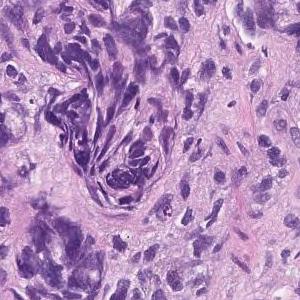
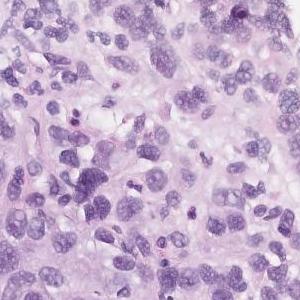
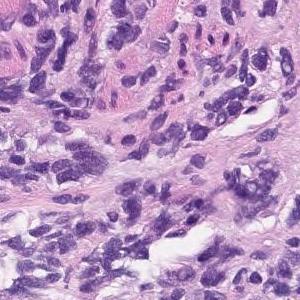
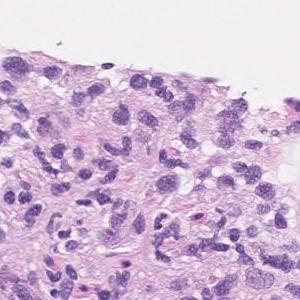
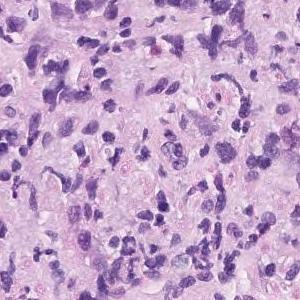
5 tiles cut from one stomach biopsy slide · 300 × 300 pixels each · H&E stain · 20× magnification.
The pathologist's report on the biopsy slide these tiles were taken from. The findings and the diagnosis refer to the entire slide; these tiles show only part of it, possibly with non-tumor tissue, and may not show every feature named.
Atypical l cells with atypical nuclei under the mucosa growing in isolation and scattered. Poorly differentiated adenocarcinoma (poorly differentiated adenocarcinoma, non-solid type)
Subtype: Poorly differentiated adenocarcinoma, non-solid type.
The non-solid type named here is a Japanese Classification of Gastric Carcinoma category.
